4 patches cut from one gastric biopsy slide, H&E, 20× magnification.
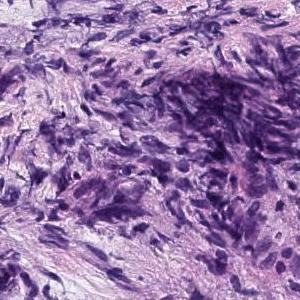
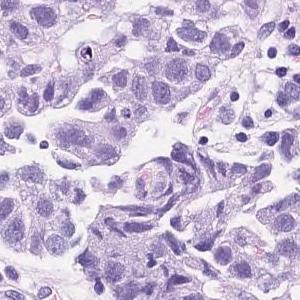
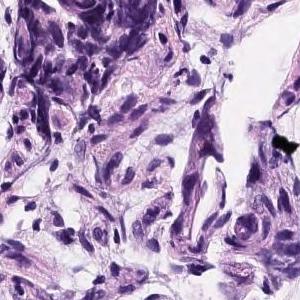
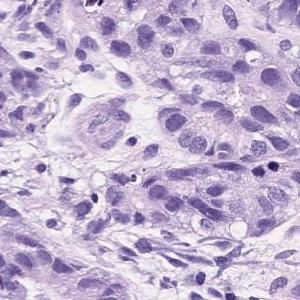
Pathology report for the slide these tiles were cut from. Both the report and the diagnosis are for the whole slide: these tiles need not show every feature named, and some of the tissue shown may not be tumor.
Atypical epithelial cells with an increased N/C ratio proliferate and consist of a part that shows the formation of gland ducts and a part that shows solid growth. Poorly differentiated adenocarcinoma, solid-type
Tumor subtype: poorly differentiated adenocarcinoma, solid type, a category of the Japanese Classification of Gastric Carcinoma; in the WHO 2019 classification it is tubular adenocarcinoma, poorly differentiated.
